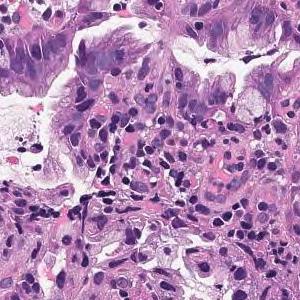
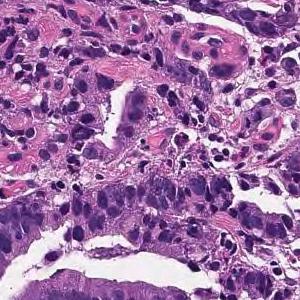
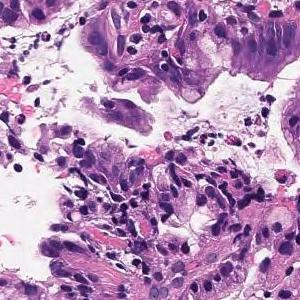
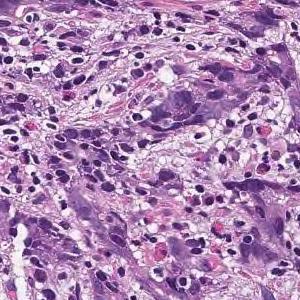
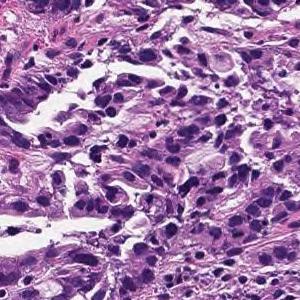
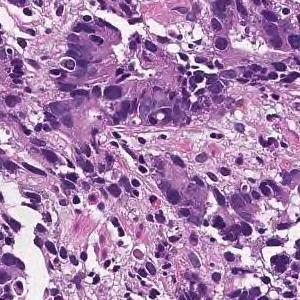
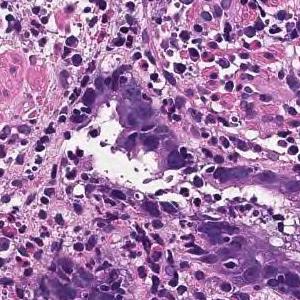
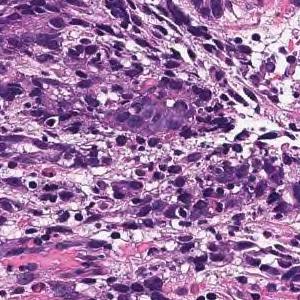
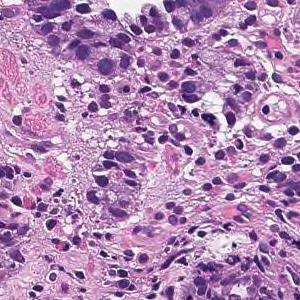
9 tiles from the same stomach biopsy slide; scanned at ×20; H&E.
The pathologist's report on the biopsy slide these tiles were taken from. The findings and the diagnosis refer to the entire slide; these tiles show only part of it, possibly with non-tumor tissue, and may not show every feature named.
Tumor tissue consisting of cord-like or small, irregular glandular ducts fused and infiltrated is observed in the superficial epithelium. Poorly differentiated adenocarcinoma, non-solid type
The term "non-solid type" comes from the Japanese Classification of Gastric Carcinoma.
